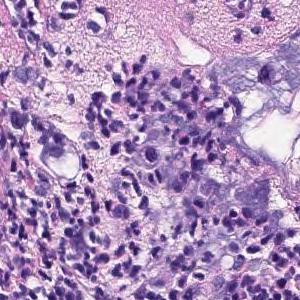
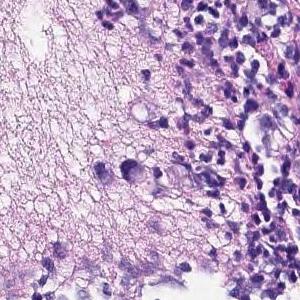
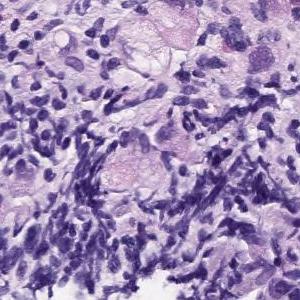
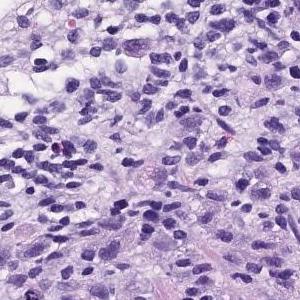
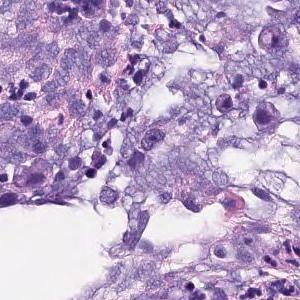
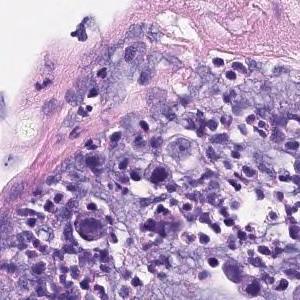
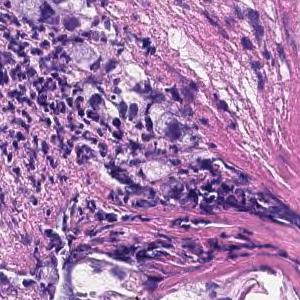
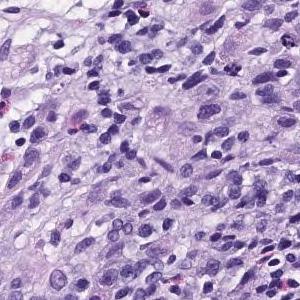
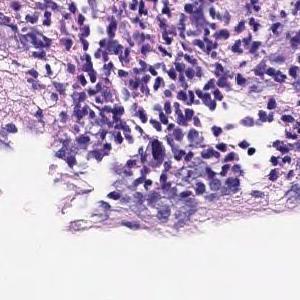
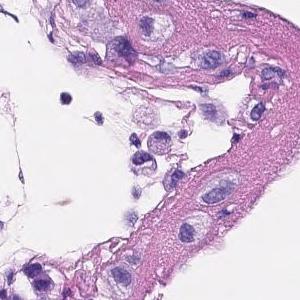
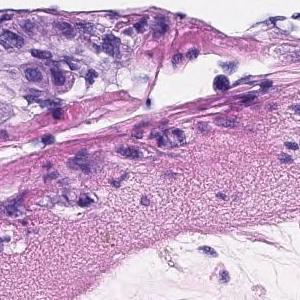
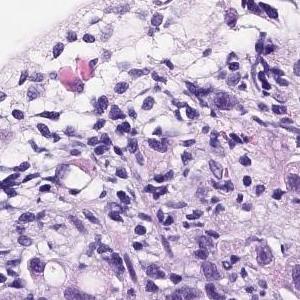
12 tiles cut from one stomach biopsy slide · 300 × 300 pixels each · hematoxylin and eosin stain.
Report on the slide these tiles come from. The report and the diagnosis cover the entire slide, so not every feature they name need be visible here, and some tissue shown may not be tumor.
A large atypical epithelium lacking ductal construction with swelling of the nucleus is seen to proliferate solidly. Poorly differentiated adenocarcinoma.
Histological subtype: Poorly differentiated adenocarcinoma, non-solid type.
"Non-solid type" is a category of the Japanese Classification of Gastric Carcinoma.
